5 patches cut from one gastric biopsy slide; scanned at ×20.
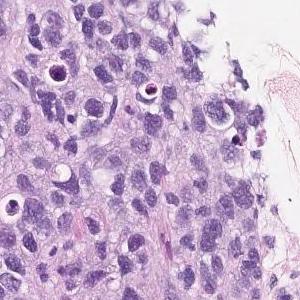
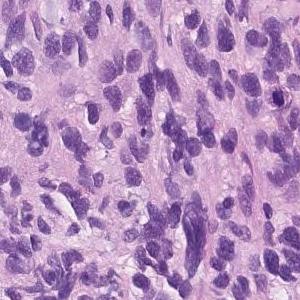
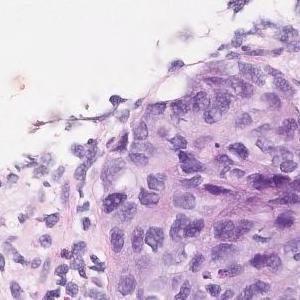
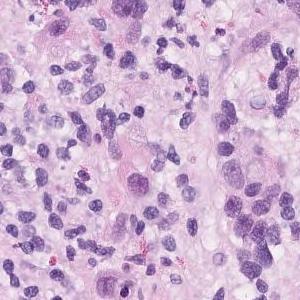
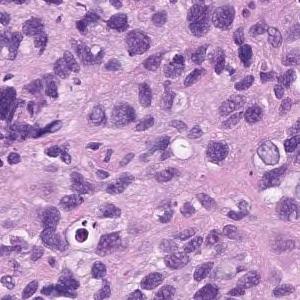
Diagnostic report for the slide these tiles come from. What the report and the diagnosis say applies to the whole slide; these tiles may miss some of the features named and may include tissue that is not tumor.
Atypical l cells with atypical nuclei under the mucosa growing in isolation and scattered. Poorly differentiated adenocarcinoma (poorly differentiated adenocarcinoma, non-solid type)
Histologic type: Poorly differentiated adenocarcinoma, non-solid type.
The term "non-solid type" comes from the Japanese Classification of Gastric Carcinoma.
